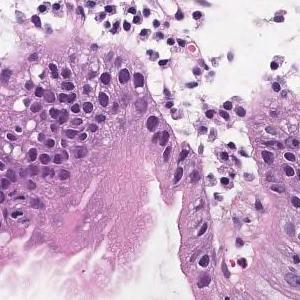
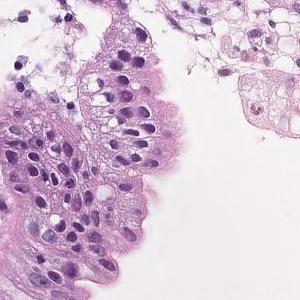
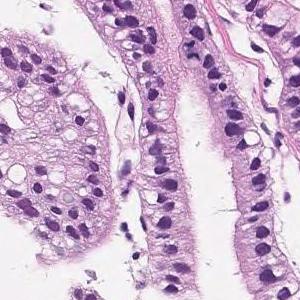
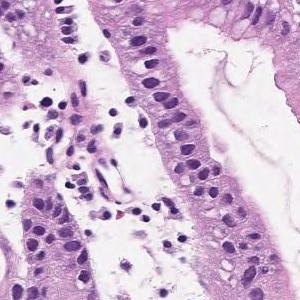
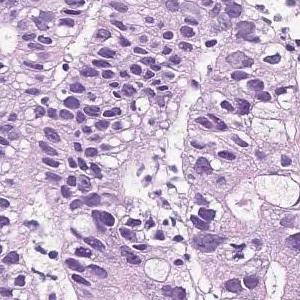
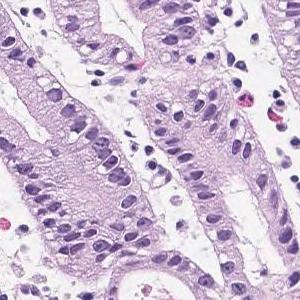
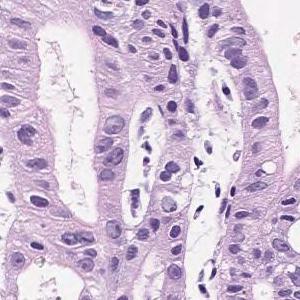
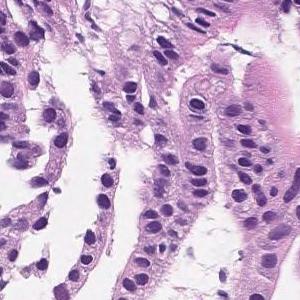
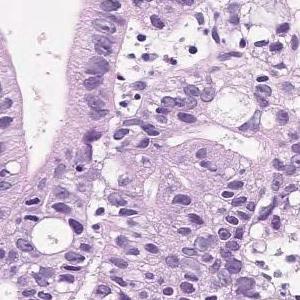
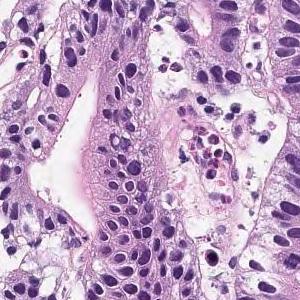
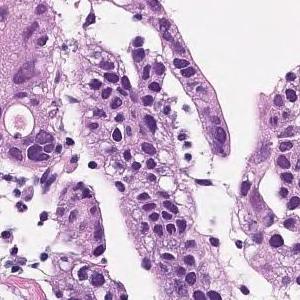
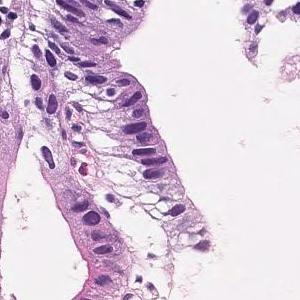
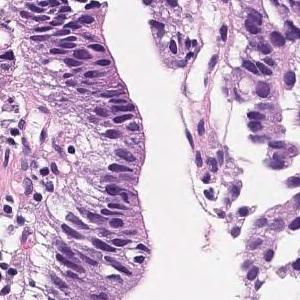
13 tiles cut from one stomach biopsy slide · each 300 × 300 pixels · hematoxylin and eosin stain · ×20.
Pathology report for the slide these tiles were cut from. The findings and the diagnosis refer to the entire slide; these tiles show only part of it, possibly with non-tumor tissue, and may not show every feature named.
On the superficial epithelium, tumor tissue that infiltrates by forming medium-sized papillary or small irregular ducts is observed. Papillary adenocarcinoma
